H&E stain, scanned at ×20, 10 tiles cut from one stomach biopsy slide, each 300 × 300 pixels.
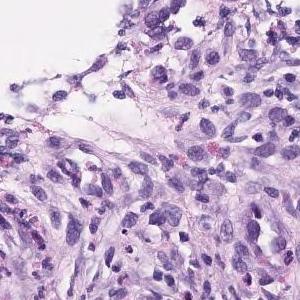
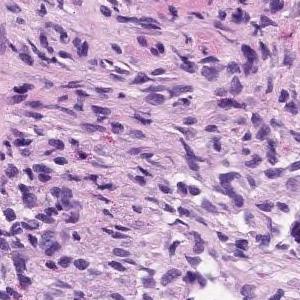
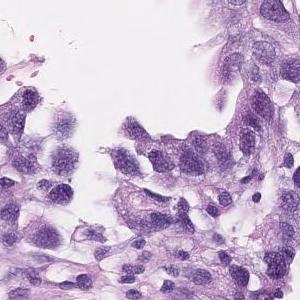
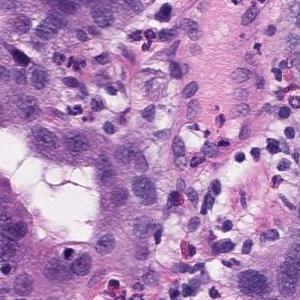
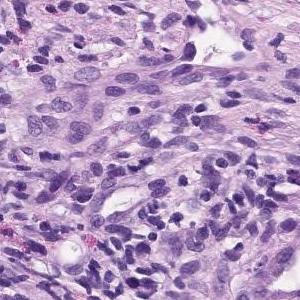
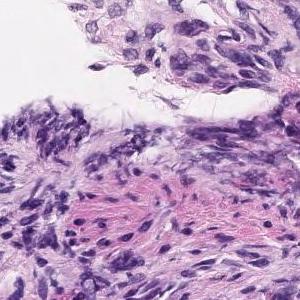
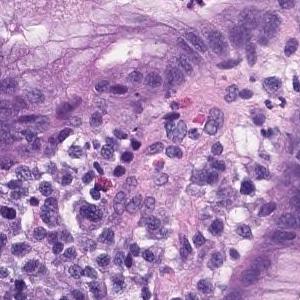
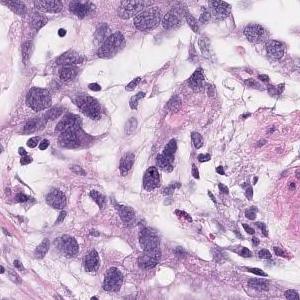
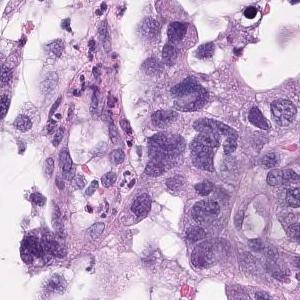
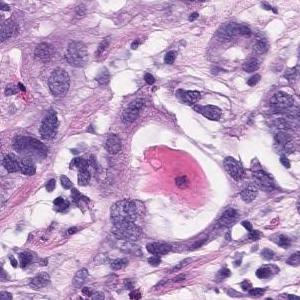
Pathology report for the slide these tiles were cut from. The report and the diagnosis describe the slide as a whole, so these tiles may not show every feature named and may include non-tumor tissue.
Group 5, Adenocarcinoma. Moderately to poorly differentiated adenocarcinoma
